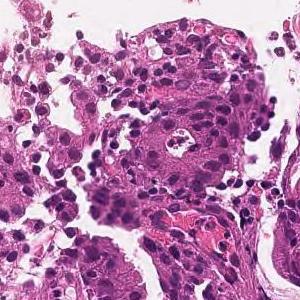
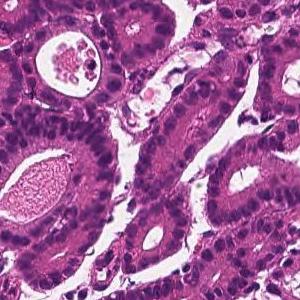
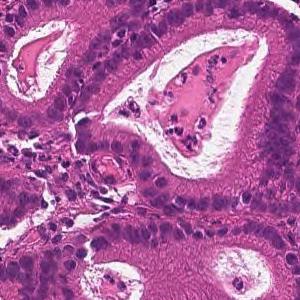
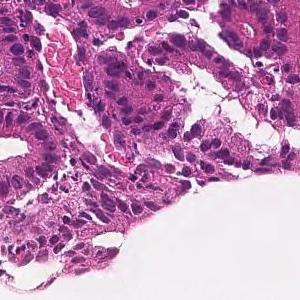
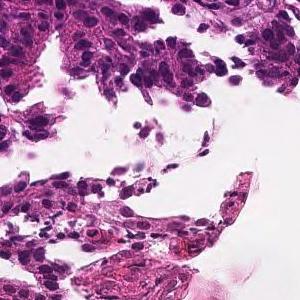
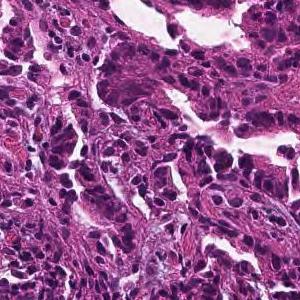
6 tiles cut from one stomach biopsy slide; hematoxylin and eosin stain; 20× magnification.
Pathology report for the slide these tiles were cut from. What the report and the diagnosis say applies to the whole slide; these tiles may miss some of the features named and may include tissue that is not tumor.
From the superficial epithelium to the muscularis mucosae, tumor tissue consisting of medium-sized and irregular glandular ducts infiltrating is observed. Well differentiated tubular adenocarcinoma
